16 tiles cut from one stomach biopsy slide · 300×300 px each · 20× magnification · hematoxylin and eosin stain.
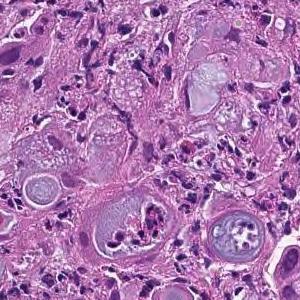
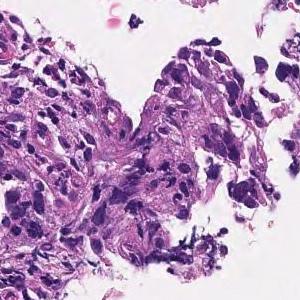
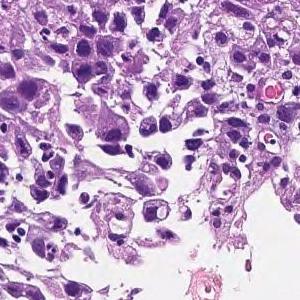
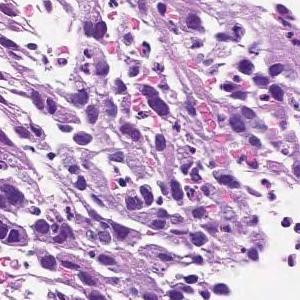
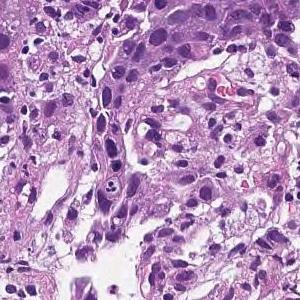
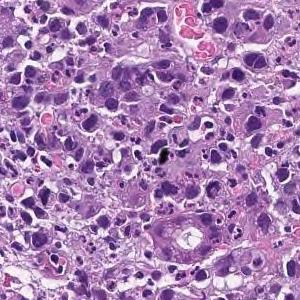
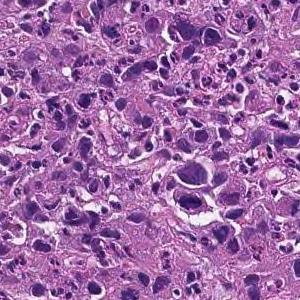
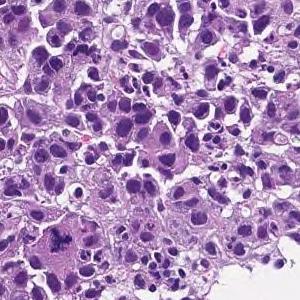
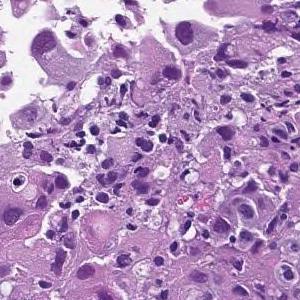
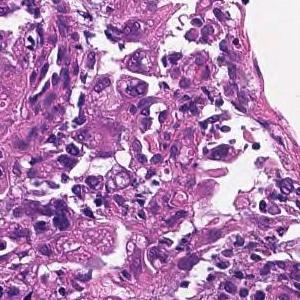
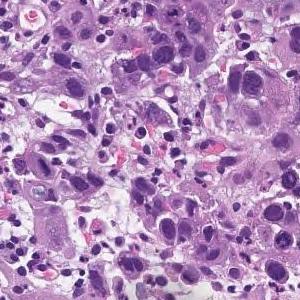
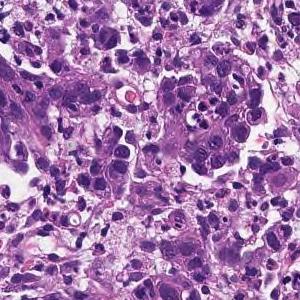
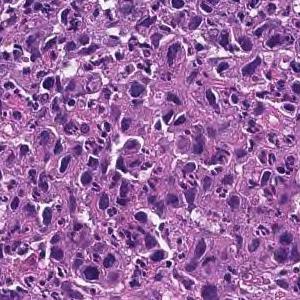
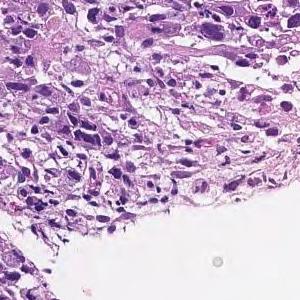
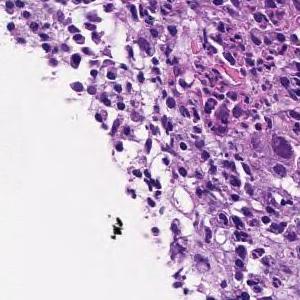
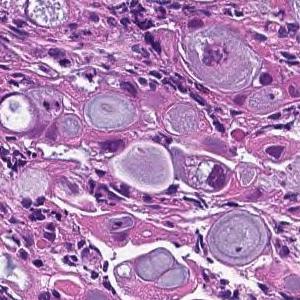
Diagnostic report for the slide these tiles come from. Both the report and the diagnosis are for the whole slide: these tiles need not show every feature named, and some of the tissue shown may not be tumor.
The superficial epithelium shows a large sheet-like shape, and some tumor tissue infiltrates with small irregular ducts. Poorly differentiated adenocarcinoma, solid-type
Subtype: Poorly differentiated adenocarcinoma, solid type, a category of the Japanese Classification of Gastric Carcinoma; in the WHO 2019 classification it is tubular adenocarcinoma, poorly differentiated.
